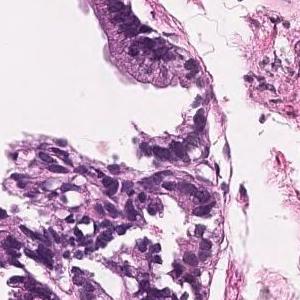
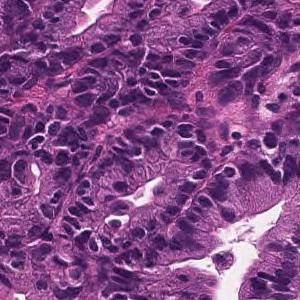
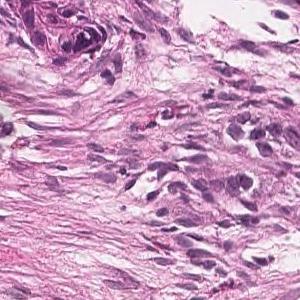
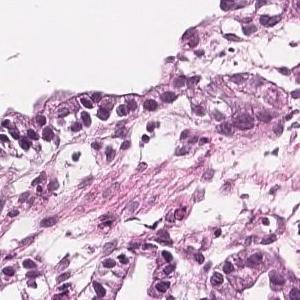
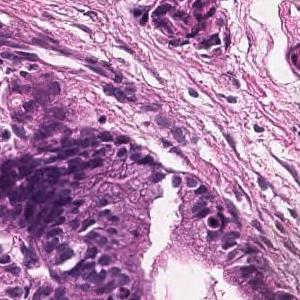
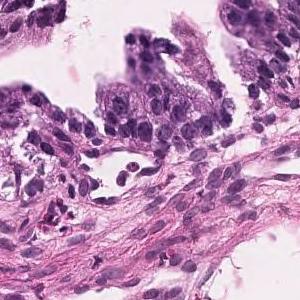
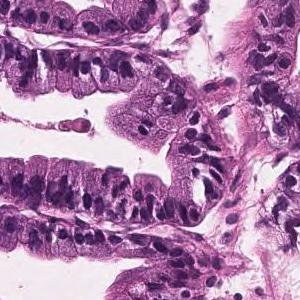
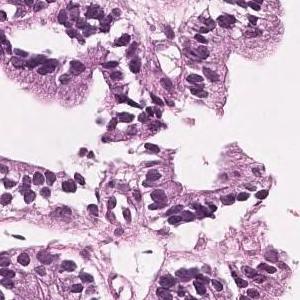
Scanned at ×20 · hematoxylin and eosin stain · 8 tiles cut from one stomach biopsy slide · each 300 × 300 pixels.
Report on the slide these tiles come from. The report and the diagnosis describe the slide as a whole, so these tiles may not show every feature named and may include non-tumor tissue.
Tumor cells are large, highly columnar, large club-shaped nuclei, and are associated with chromatin aggregation. Papillary adenocarcinoma.
